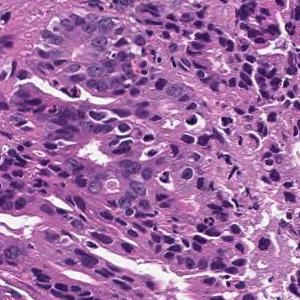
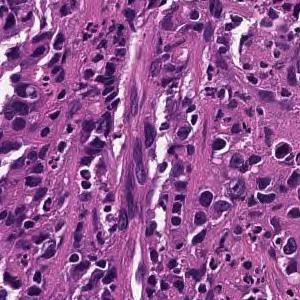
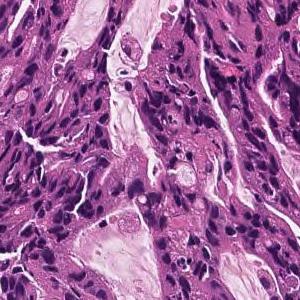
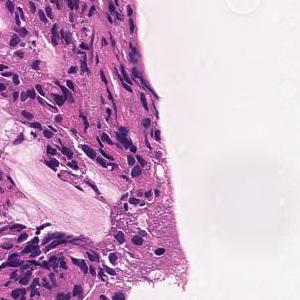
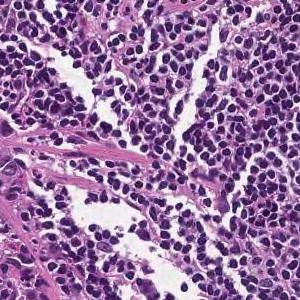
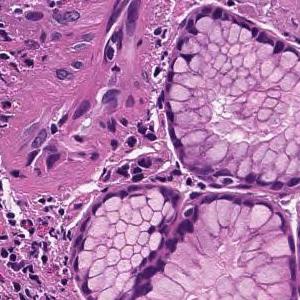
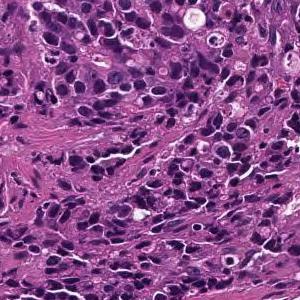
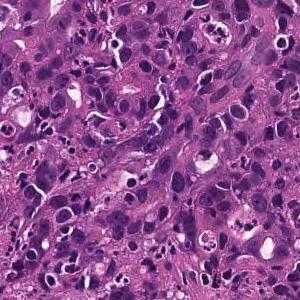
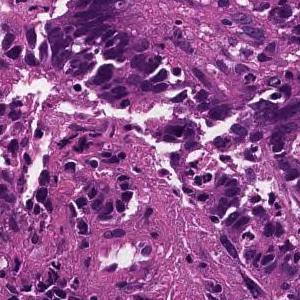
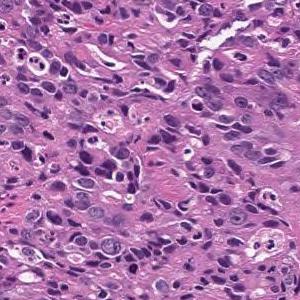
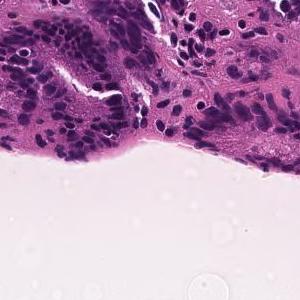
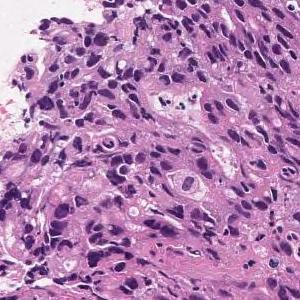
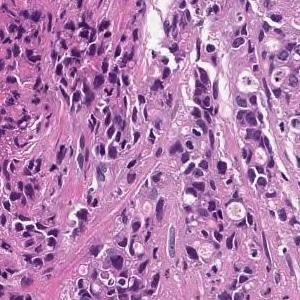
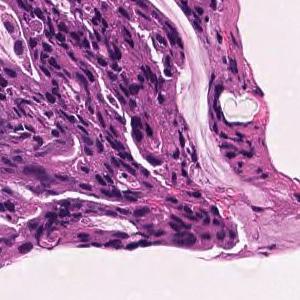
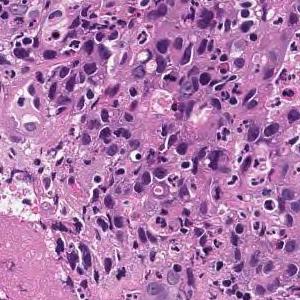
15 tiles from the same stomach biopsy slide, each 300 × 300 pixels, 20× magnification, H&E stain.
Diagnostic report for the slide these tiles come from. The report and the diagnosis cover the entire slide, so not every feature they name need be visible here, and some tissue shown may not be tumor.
In the superficial epithelium, tumor tissue that invades by forming medium-sized to small, irregular ducts is observed. moderately differentiated tubular adenocarcinoma.
